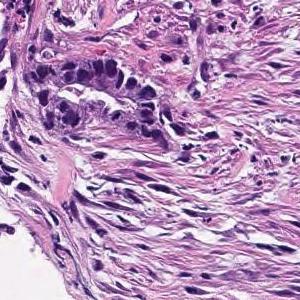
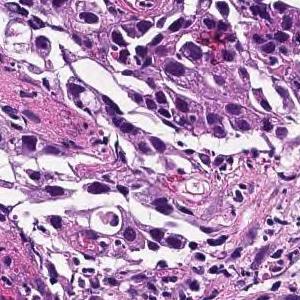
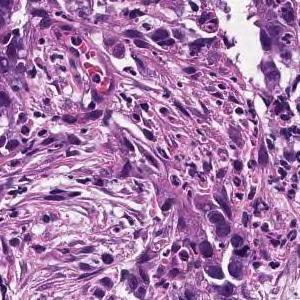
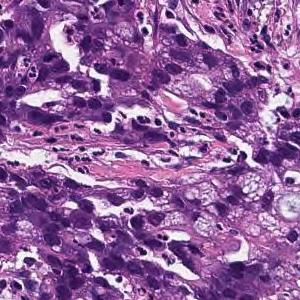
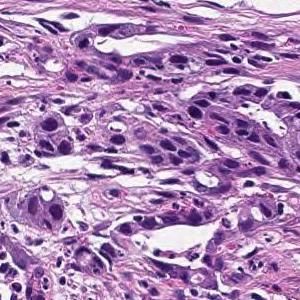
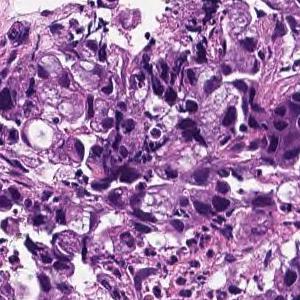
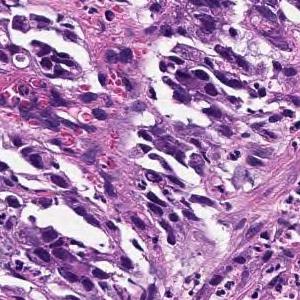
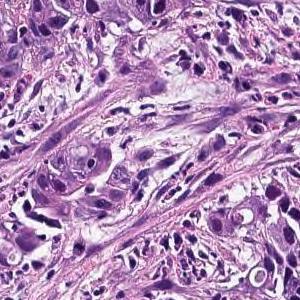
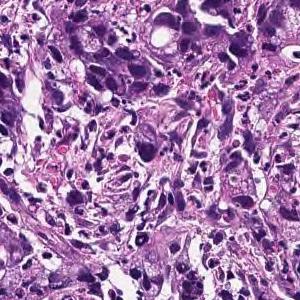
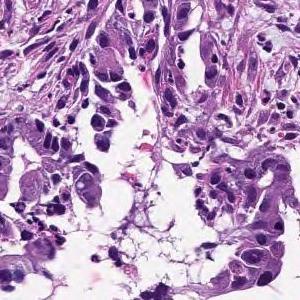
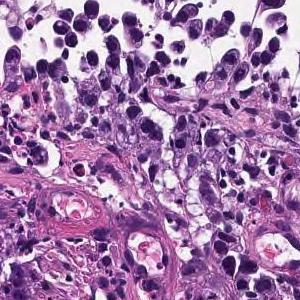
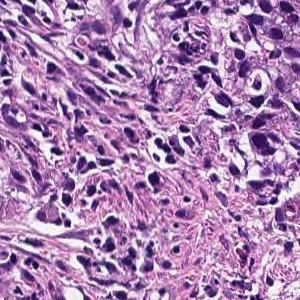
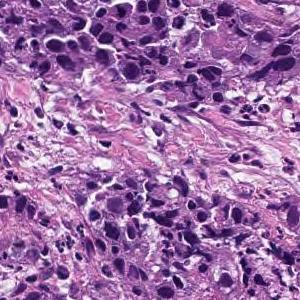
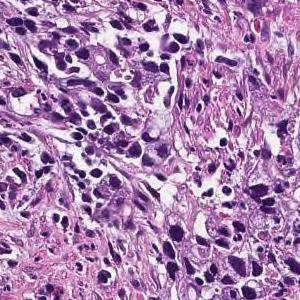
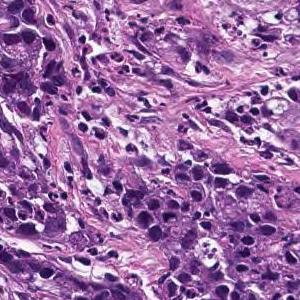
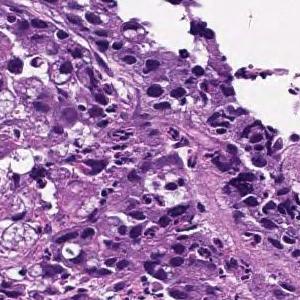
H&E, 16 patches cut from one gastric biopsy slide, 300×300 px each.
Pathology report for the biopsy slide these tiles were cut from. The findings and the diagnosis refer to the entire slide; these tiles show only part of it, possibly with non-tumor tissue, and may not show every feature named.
Medium to small, irregular glandular ducts are formed in the superficial epithelium, and in some cases, the glandular ducts are fused to show solid alveolar lesions and infiltrating tumor tissue is observed. Moderately to poorly differentiated adenocarcinoma.
